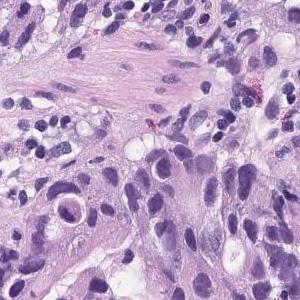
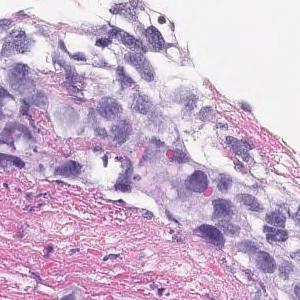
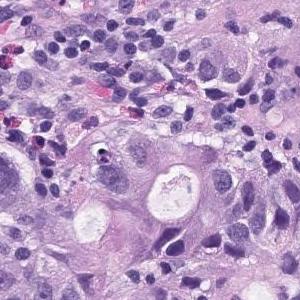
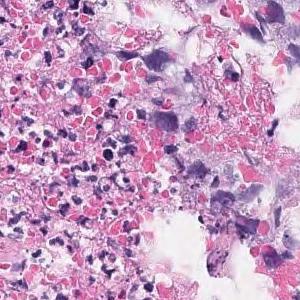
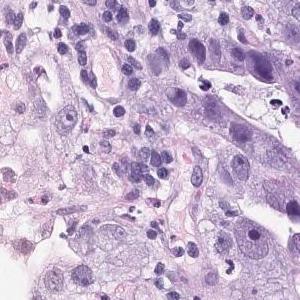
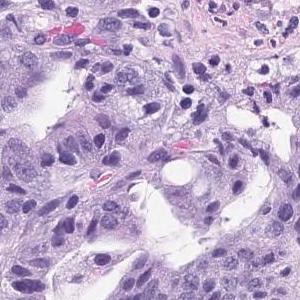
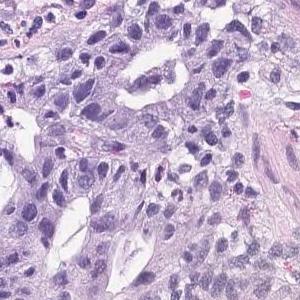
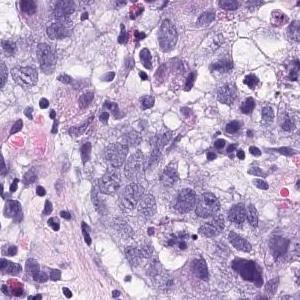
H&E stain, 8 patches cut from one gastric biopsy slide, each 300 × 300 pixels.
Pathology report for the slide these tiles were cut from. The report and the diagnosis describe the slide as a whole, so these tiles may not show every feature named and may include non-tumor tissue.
In the superficial epithelium, tumor tissue that invades by forming medium-sized to small, irregular ducts is observed. Moderately differentiated adenocarcinoma.
Classified as moderately differentiated tubular adenocarcinoma.
